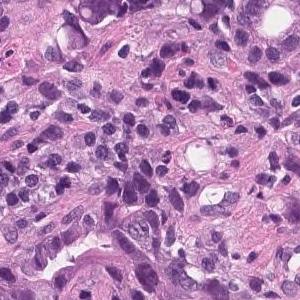
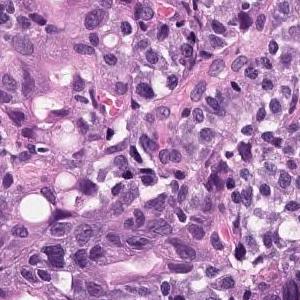
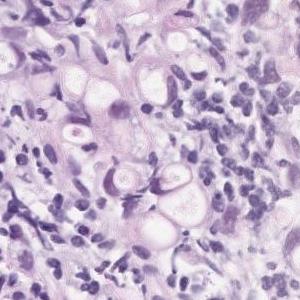
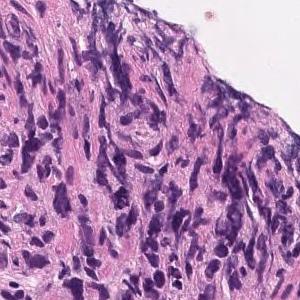
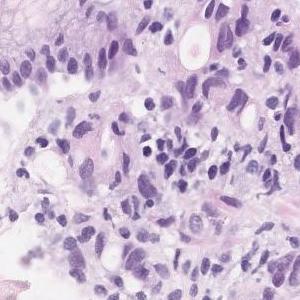
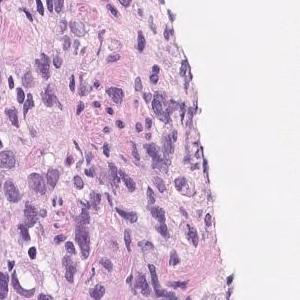
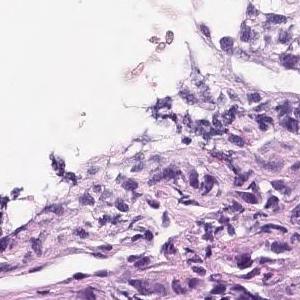
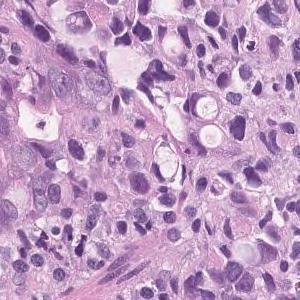
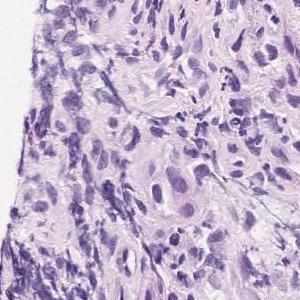
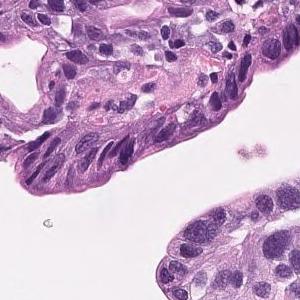
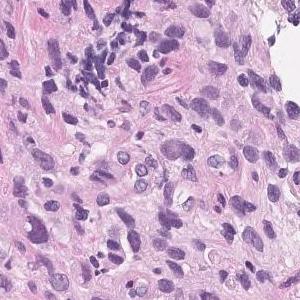
11 patches cut from one gastric biopsy slide, hematoxylin and eosin stain, ×20.
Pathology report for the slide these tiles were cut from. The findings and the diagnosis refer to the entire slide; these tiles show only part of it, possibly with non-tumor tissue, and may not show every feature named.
Tumor tissue consisting of medium-sized, cord-like or irregular glandular infiltration is observed in the superficial epithelium. Poorly differentiated adenocarcinoma, non-solid type or moderately differentiated tubular adenocarcinoma
Labeled in the dataset as poorly differentiated adenocarcinoma, non-solid type.
"Non-solid type" is a category of the Japanese Classification of Gastric Carcinoma.
